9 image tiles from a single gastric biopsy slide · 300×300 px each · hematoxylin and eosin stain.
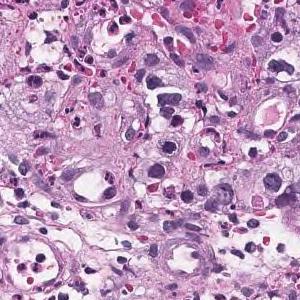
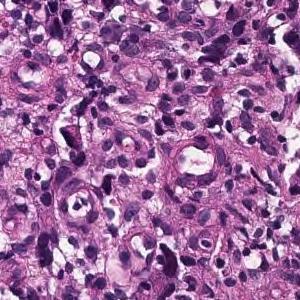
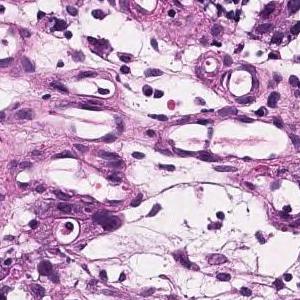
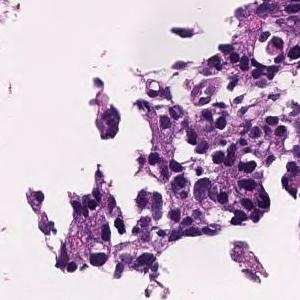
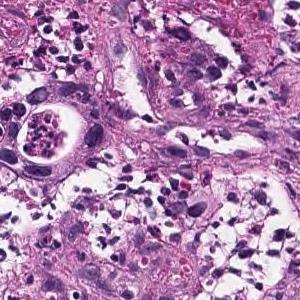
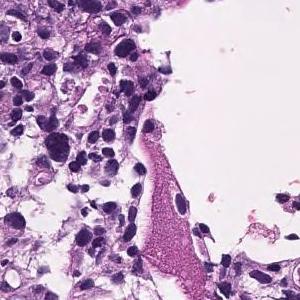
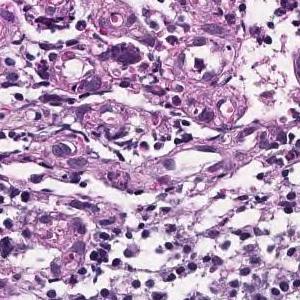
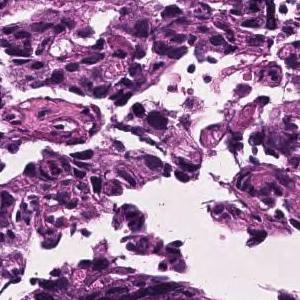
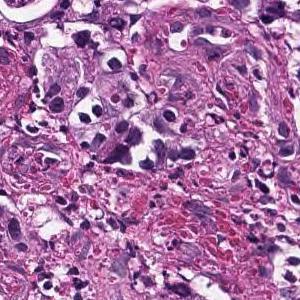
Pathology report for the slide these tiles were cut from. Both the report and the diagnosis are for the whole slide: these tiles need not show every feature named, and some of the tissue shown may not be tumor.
Tumor tissue consisting of medium-sized, cord-like or irregular glandular infiltration is observed in the superficial epithelium. Poorly differentiated adenocarcinoma, non-solid type or moderately differentiated tubular adenocarcinoma
The non-solid type named here is a Japanese Classification of Gastric Carcinoma category.
